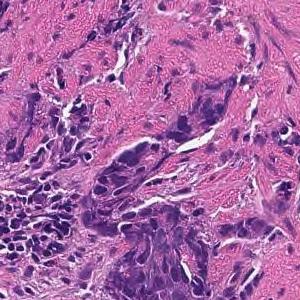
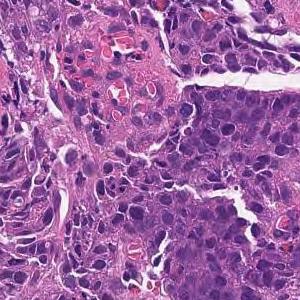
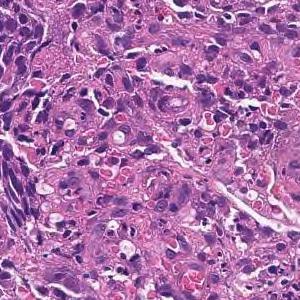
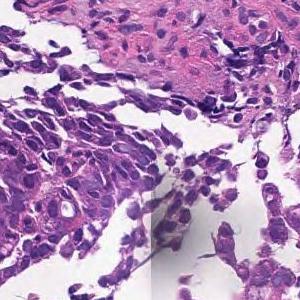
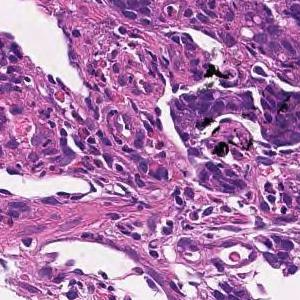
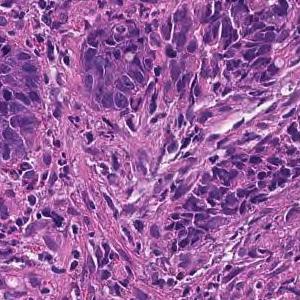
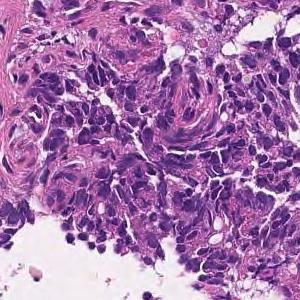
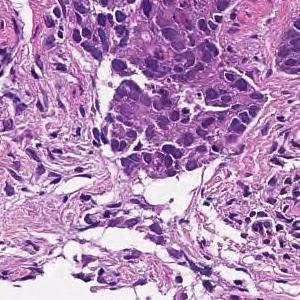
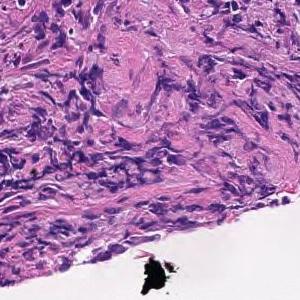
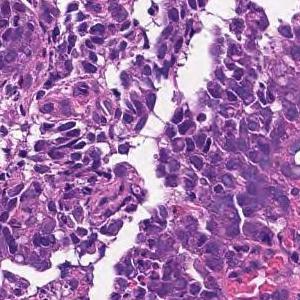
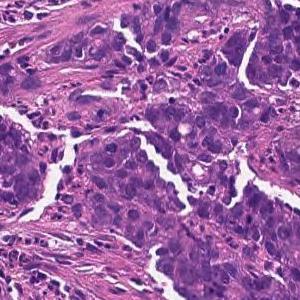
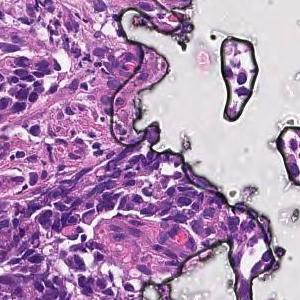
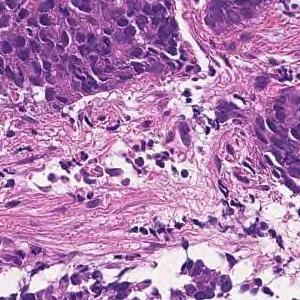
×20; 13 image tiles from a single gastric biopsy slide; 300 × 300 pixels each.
Report on the slide these tiles come from. Both the report and the diagnosis are for the whole slide: these tiles need not show every feature named, and some of the tissue shown may not be tumor.
Tumor tissue consisting of cord-like or small, irregular glandular ducts fused and infiltrated is observed in the superficial epithelium. Poorly differentiated adenocarcinoma, non-solid type
The non-solid type named here is a Japanese Classification of Gastric Carcinoma category.
